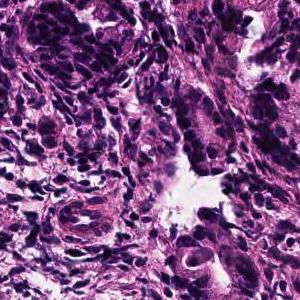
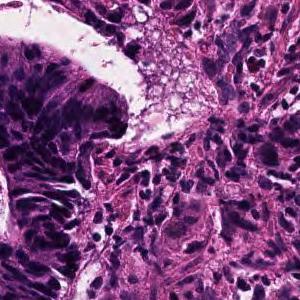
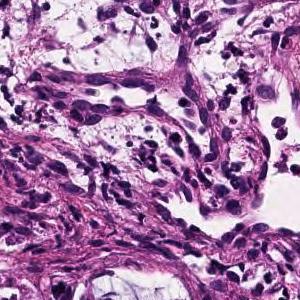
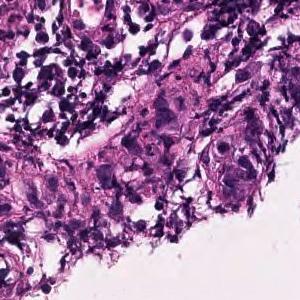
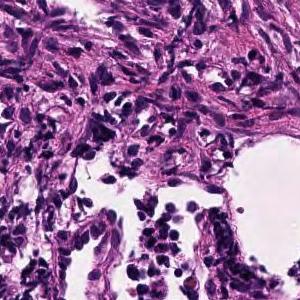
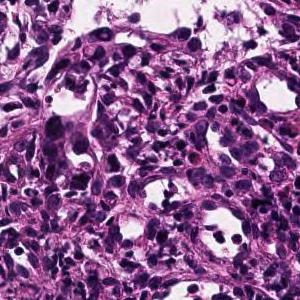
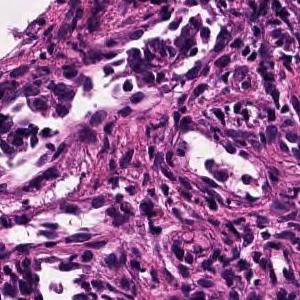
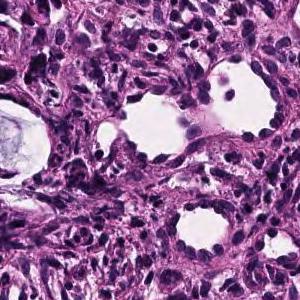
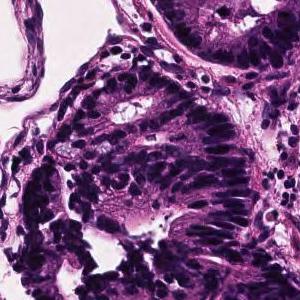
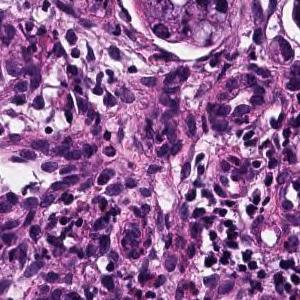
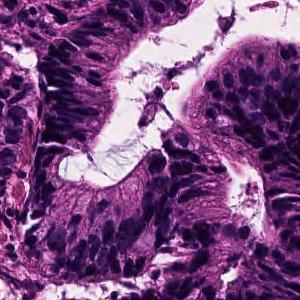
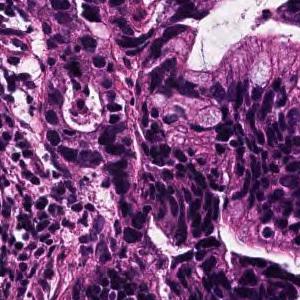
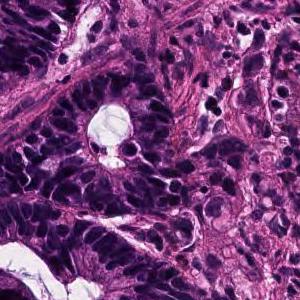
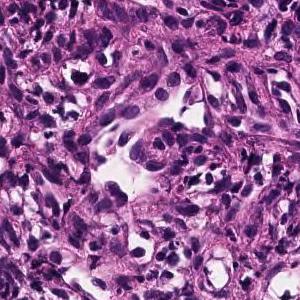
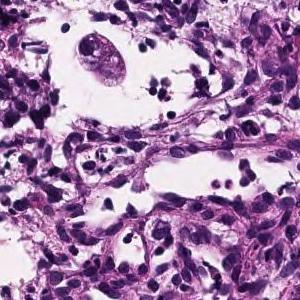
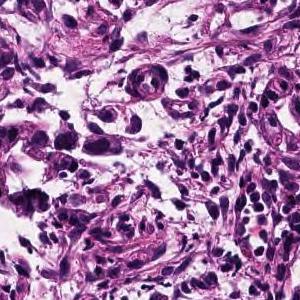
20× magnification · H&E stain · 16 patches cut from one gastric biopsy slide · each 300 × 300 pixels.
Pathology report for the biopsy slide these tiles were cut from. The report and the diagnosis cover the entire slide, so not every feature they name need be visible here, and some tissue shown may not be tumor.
On the superficial epithelium, tumor tissue consisting of large, irregular glandular ducts partially fused and infiltrated is observed. Well to moderately differentiated tubular adenocarcinoma (well differentiated tubular adenocarcinoma, moderately differentiated tubular adenocarcinoma)
Tumor subtype: well to moderately differentiated tubular adenocarcinoma.
